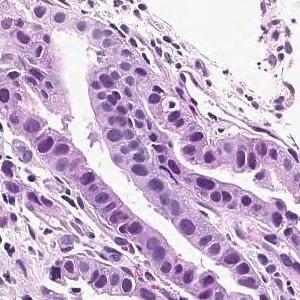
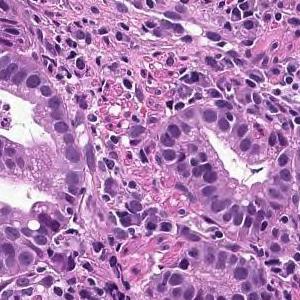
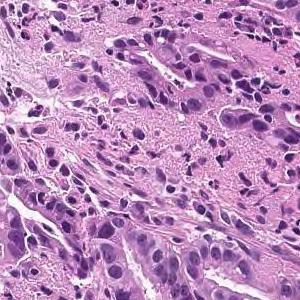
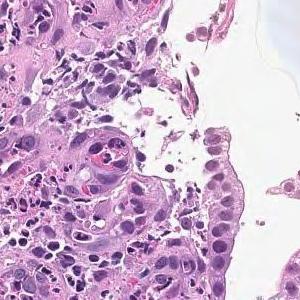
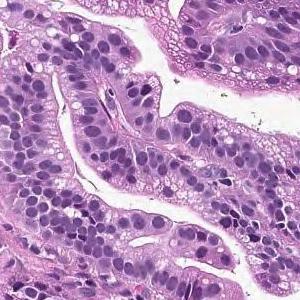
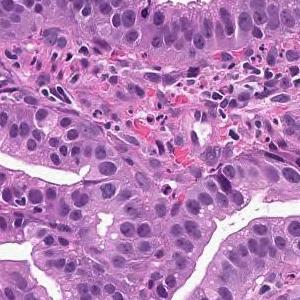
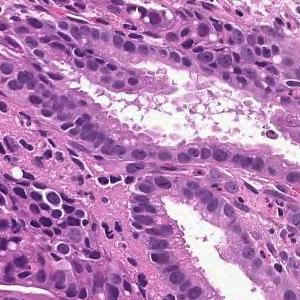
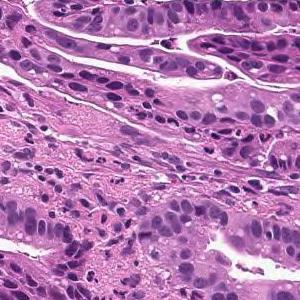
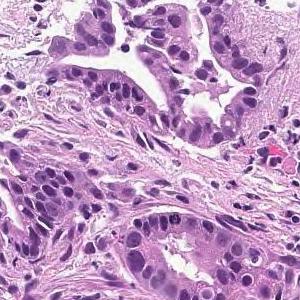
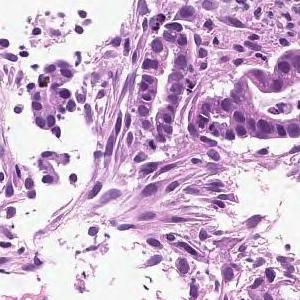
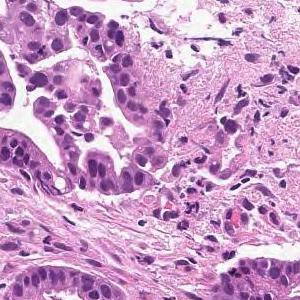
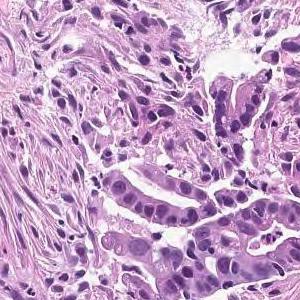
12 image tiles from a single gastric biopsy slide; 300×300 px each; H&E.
Report on the slide these tiles come from. The findings and the diagnosis refer to the entire slide; these tiles show only part of it, possibly with non-tumor tissue, and may not show every feature named.
On the superficial epithelium, tumor tissue that infiltrates by forming medium-sized papillary or small irregular ducts is observed. Papillary adenocarcinoma
